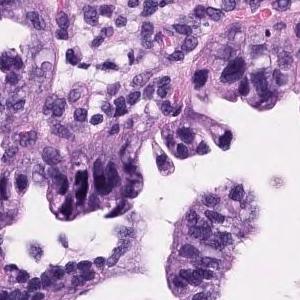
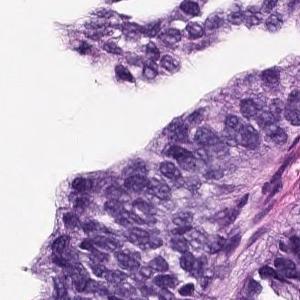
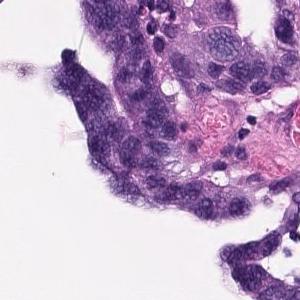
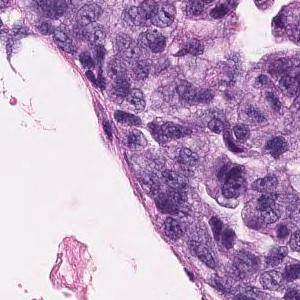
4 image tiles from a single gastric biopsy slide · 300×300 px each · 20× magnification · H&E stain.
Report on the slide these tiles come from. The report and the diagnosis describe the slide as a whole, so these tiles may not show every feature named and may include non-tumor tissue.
Tumor cells are large, highly columnar, large club-shaped nuclei, and are associated with chromatin aggregation. Papillary adenocarcinoma.
